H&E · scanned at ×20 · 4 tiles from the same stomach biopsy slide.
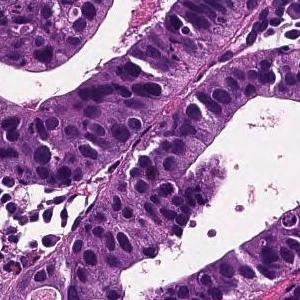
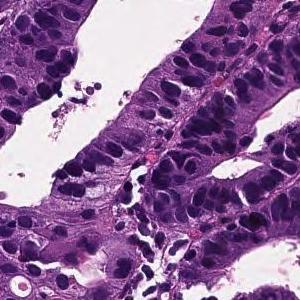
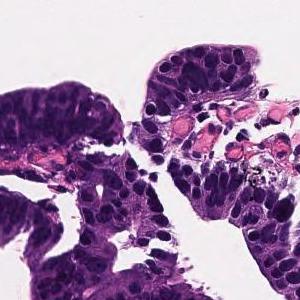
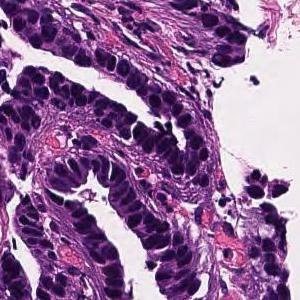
The pathologist's report on the biopsy slide these tiles were taken from. The findings and the diagnosis refer to the entire slide; these tiles show only part of it, possibly with non-tumor tissue, and may not show every feature named.
Tumor tissue consisting of large papillary structures is found in the superficial epithelium. Papillary adenocarcinoma.
